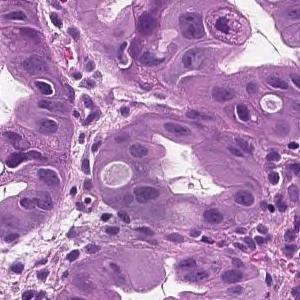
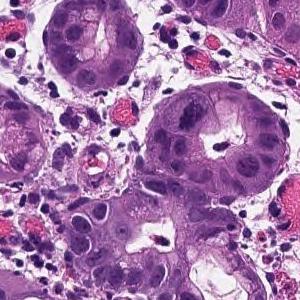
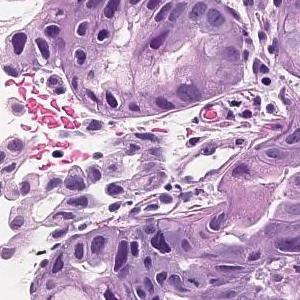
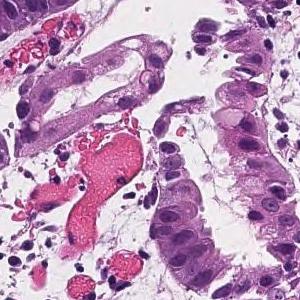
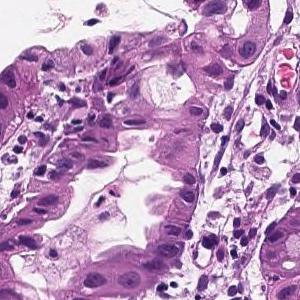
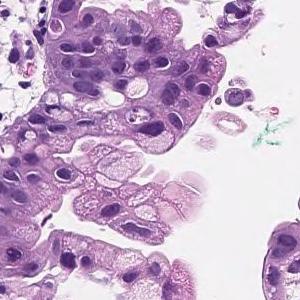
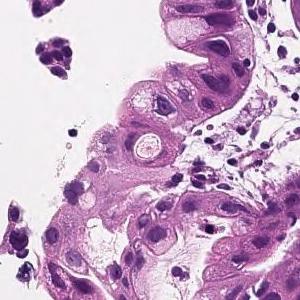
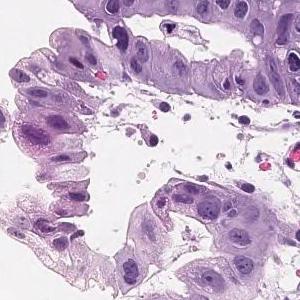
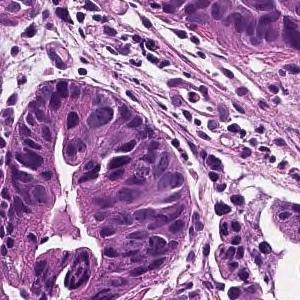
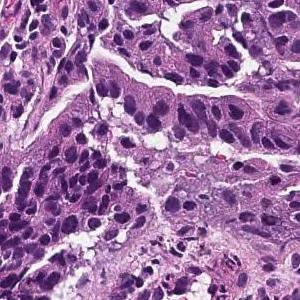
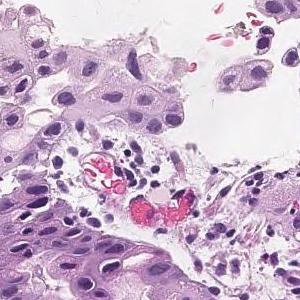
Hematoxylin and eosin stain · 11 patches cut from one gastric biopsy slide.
Diagnostic report for the slide these tiles come from. What the report and the diagnosis say applies to the whole slide; these tiles may miss some of the features named and may include tissue that is not tumor.
On the superficial epithelium, tumor tissue that infiltrates by forming medium-sized papillary or small irregular ducts is observed. Papillary adenocarcinoma
